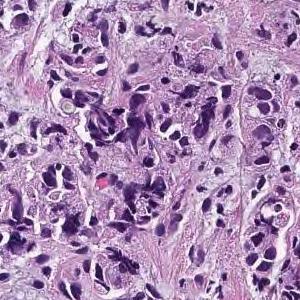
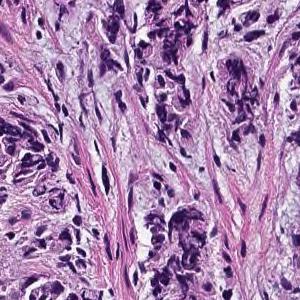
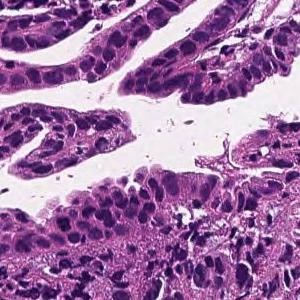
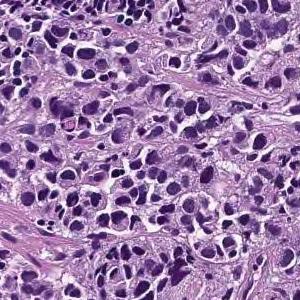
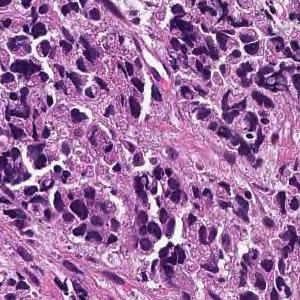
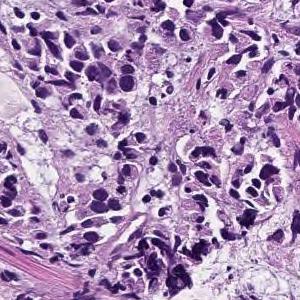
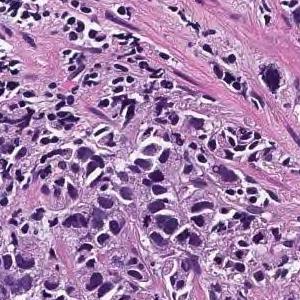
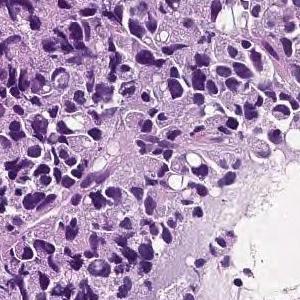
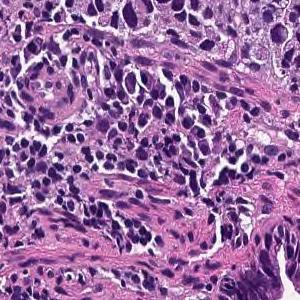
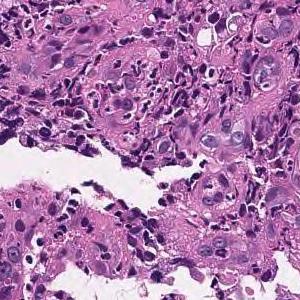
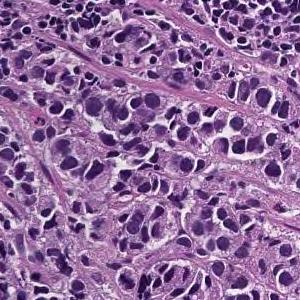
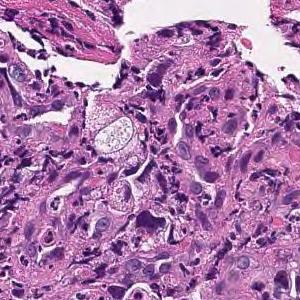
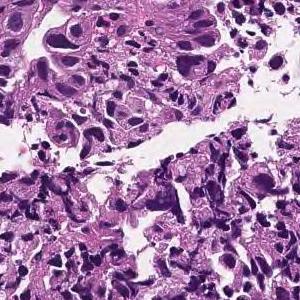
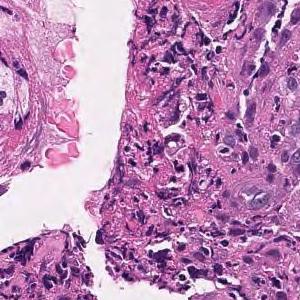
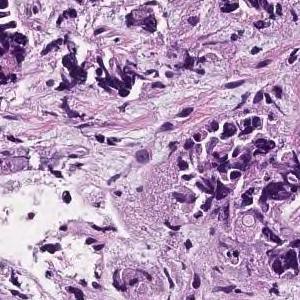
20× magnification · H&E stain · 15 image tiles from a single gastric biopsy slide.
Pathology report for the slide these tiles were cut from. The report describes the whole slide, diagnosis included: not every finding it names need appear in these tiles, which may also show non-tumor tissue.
The lamina propria shows small cord-like tumor tissue that infiltrates with fibrosis and marked chronic inflammatory cell infiltration. Poorly differentiated adenocarcinoma, non-solid type
"Non-solid type" is a category of the Japanese Classification of Gastric Carcinoma.
